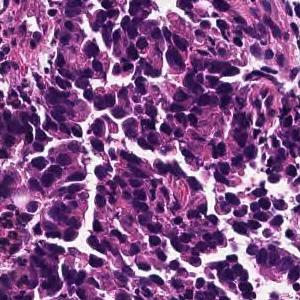
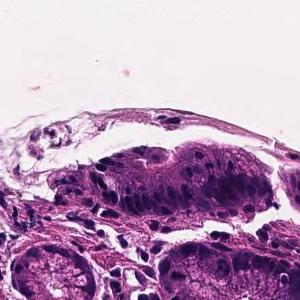
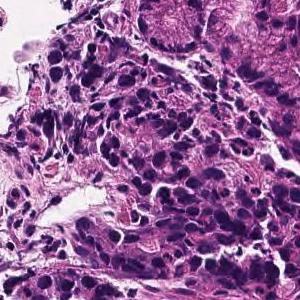
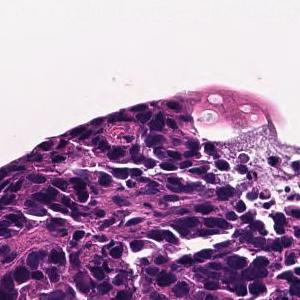
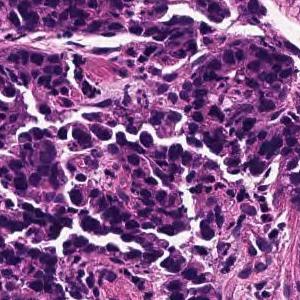
H&E, 5 tiles cut from one stomach biopsy slide.
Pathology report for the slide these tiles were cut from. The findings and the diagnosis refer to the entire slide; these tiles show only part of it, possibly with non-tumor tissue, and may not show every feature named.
Medium to small, irregular glandular ducts are formed in the superficial epithelium, and in some cases, the glandular ducts are fused to show solid alveolar lesions and infiltrating tumor tissue is observed. Moderately to poorly differentiated adenocarcinoma.
